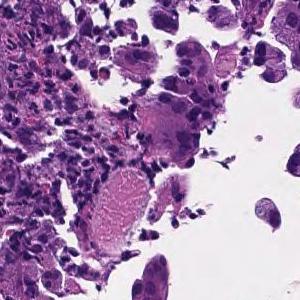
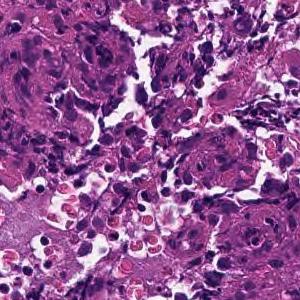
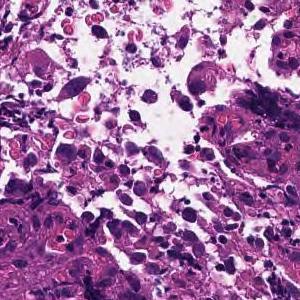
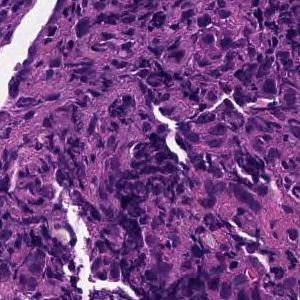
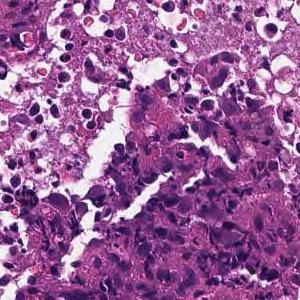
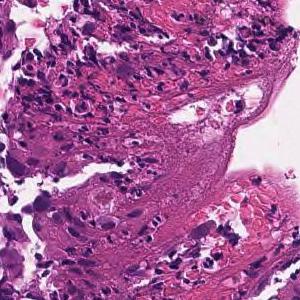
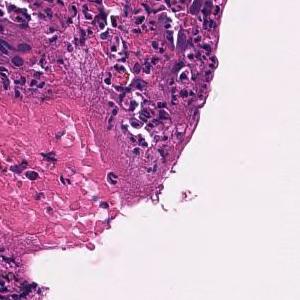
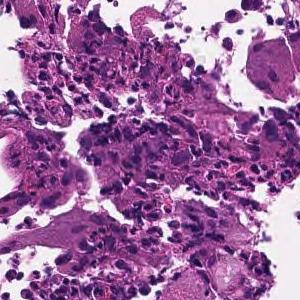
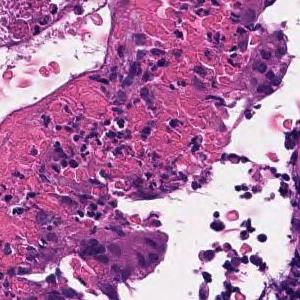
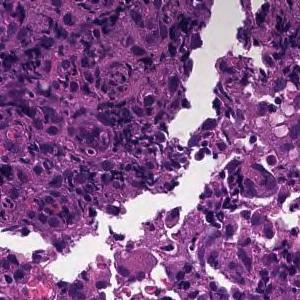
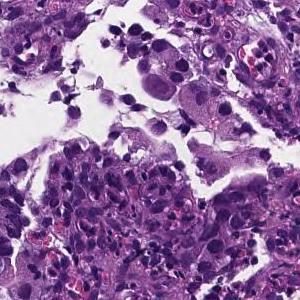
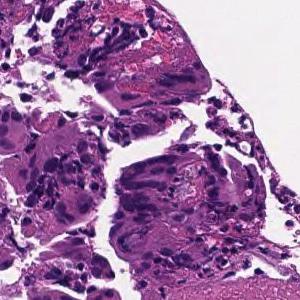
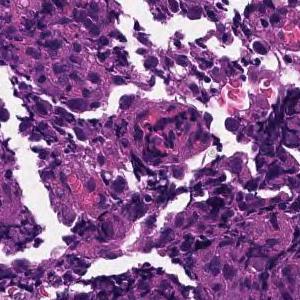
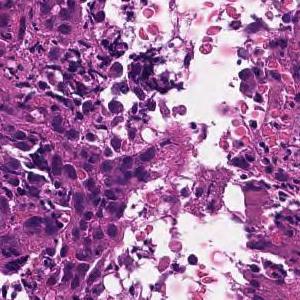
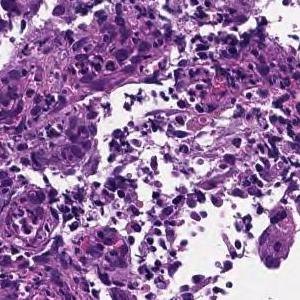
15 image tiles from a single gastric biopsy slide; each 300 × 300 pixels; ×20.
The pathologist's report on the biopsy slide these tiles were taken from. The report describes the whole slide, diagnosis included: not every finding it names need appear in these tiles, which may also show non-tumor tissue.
Tumor cells are medium to large, cuboidal, and have little tendency to differentiate. Poorly differentiated adenocarcinoma, solid-type  or moderately differentiated tubular adenocarcinoma
Dataset label: poorly differentiated adenocarcinoma, solid type. This name comes from the Japanese Classification of Gastric Carcinoma; the WHO 2019 classification calls it tubular adenocarcinoma, poorly differentiated.
